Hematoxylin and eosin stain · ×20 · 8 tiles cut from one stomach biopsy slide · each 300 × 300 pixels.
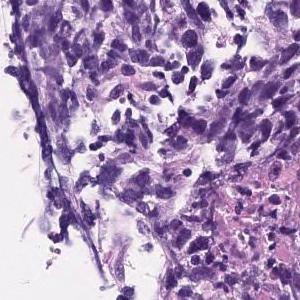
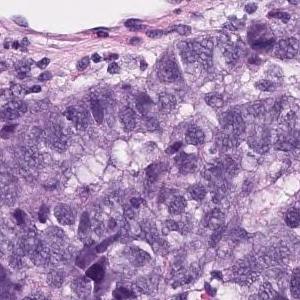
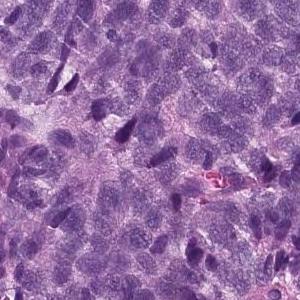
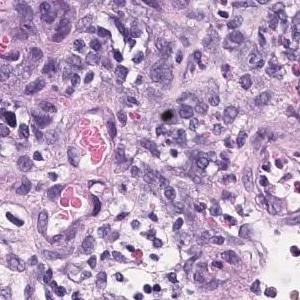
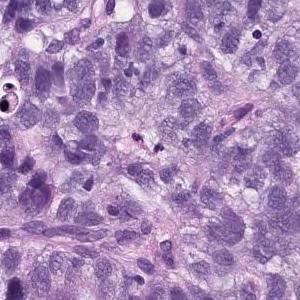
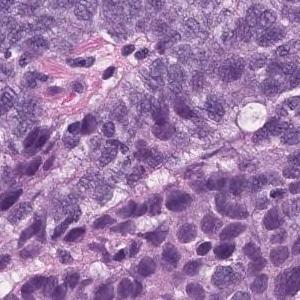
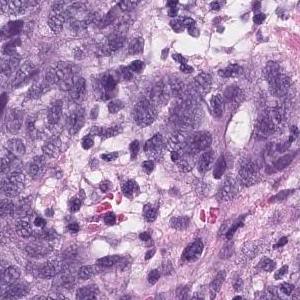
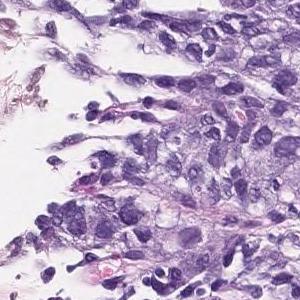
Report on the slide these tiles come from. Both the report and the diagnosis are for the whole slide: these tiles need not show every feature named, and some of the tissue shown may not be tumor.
Epithelial cells with swollen nuclei with atypia invasively proliferating while forming vesicles is observed. Poorly differentiated adenocarcinoma
Classified as poorly differentiated adenocarcinoma, solid type. This name comes from the Japanese Classification of Gastric Carcinoma; the WHO 2019 classification calls it tubular adenocarcinoma, poorly differentiated.
